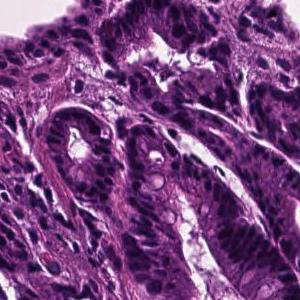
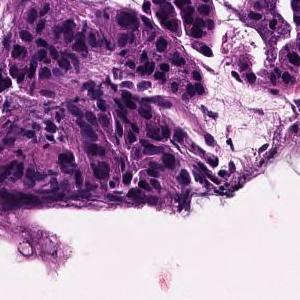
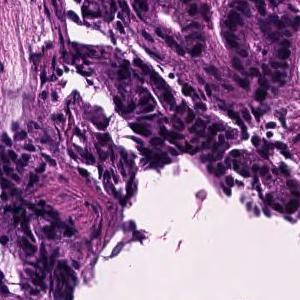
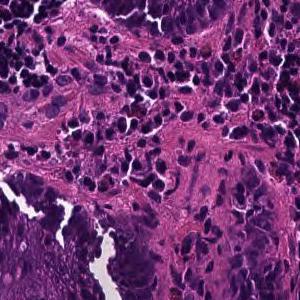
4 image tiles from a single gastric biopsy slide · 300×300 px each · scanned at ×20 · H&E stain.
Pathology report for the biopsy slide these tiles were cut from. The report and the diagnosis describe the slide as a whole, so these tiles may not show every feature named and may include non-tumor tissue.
In the superficial epithelium, tumor tissue that invades by forming medium-sized to small, irregular ducts is observed. Well differentiated tubular adenocarcinoma.
